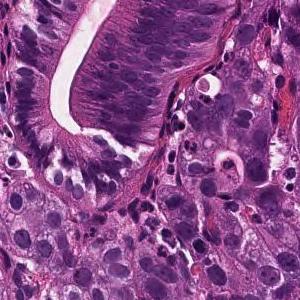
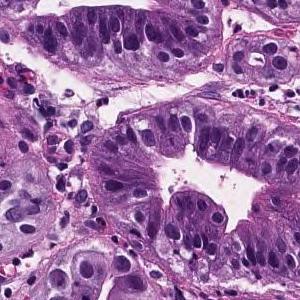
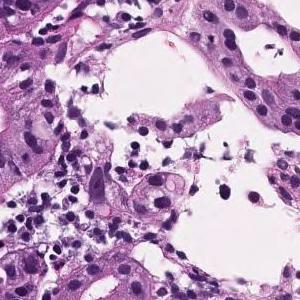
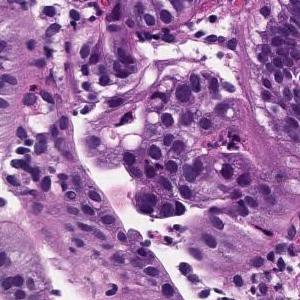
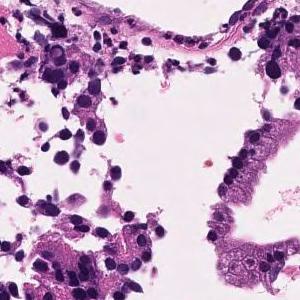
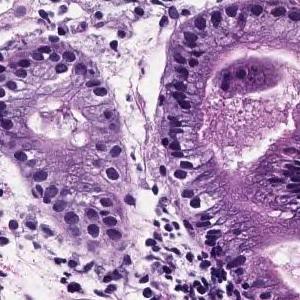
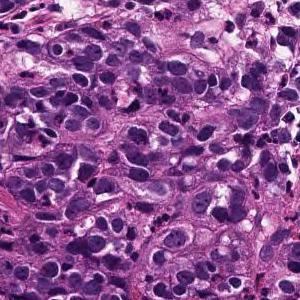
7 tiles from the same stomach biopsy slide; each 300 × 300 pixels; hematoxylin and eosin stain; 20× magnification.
Report on the slide these tiles come from. Both the report and the diagnosis are for the whole slide: these tiles need not show every feature named, and some of the tissue shown may not be tumor.
In the superficial epithelium, tumor tissue that invades by forming medium-sized to small, irregular ducts is observed. moderately differentiated tubular adenocarcinoma.
